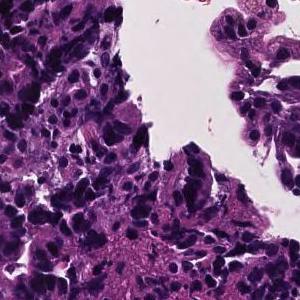
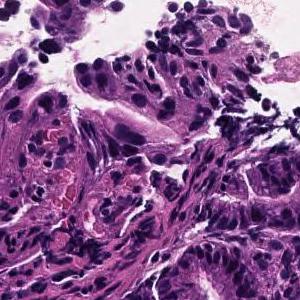
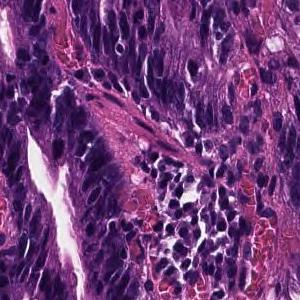
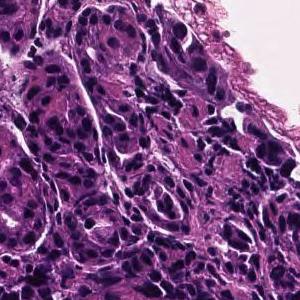
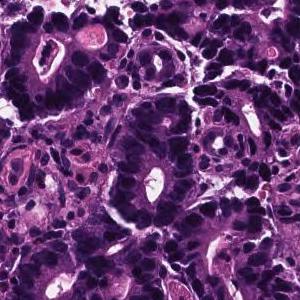
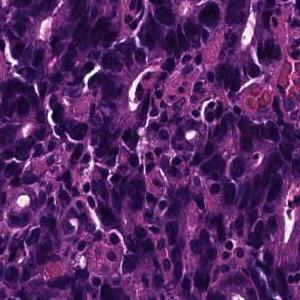
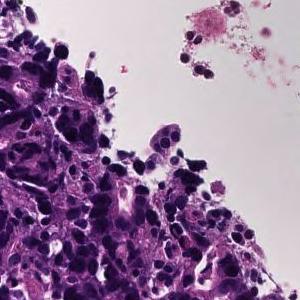
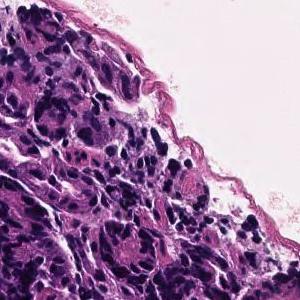
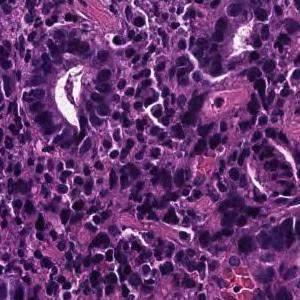
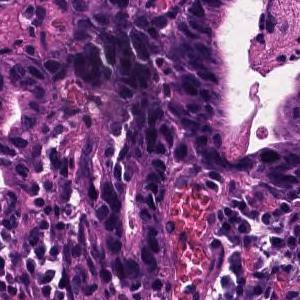
10 tiles from the same stomach biopsy slide · 300×300 px each · H&E.
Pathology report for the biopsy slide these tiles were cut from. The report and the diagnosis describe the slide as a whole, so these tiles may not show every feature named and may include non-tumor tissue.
On the superficial epithelium, tumor tissue consisting of large, irregular glandular ducts partially fused and infiltrated is observed. Well to moderately differentiated tubular adenocarcinoma (well differentiated tubular adenocarcinoma, moderately differentiated tubular adenocarcinoma)
Histologic type: Well to moderately differentiated tubular adenocarcinoma.
